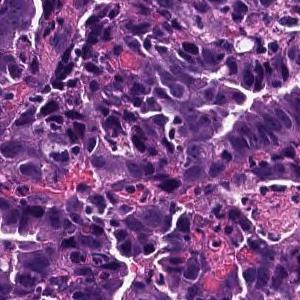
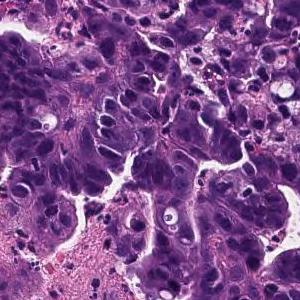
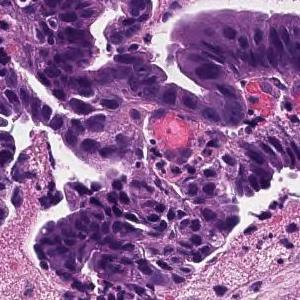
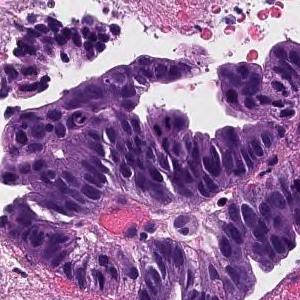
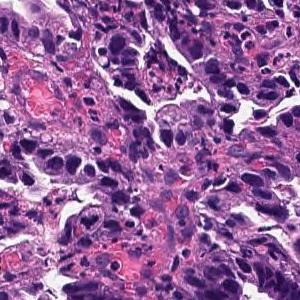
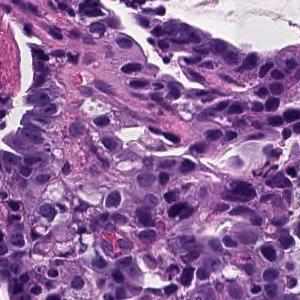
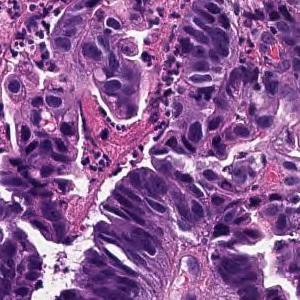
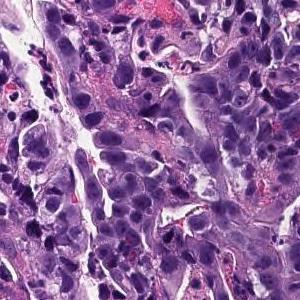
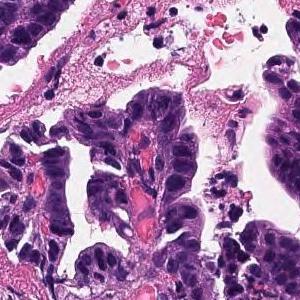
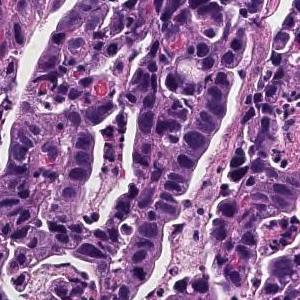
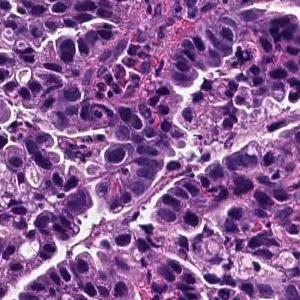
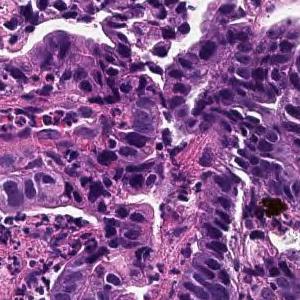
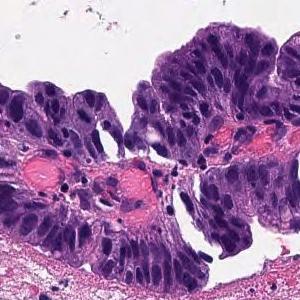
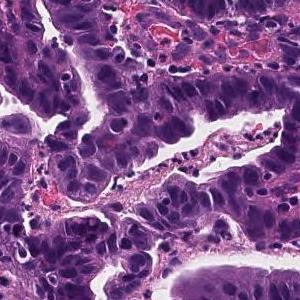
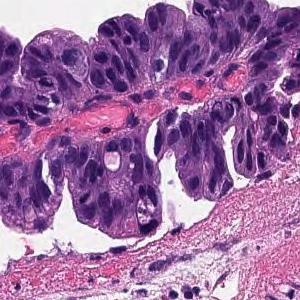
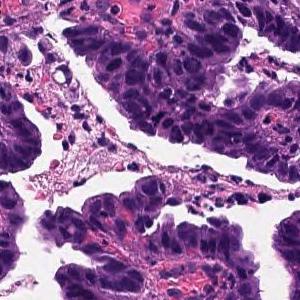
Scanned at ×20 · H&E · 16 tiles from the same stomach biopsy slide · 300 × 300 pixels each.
Pathology report for the biopsy slide these tiles were cut from. What the report and the diagnosis say applies to the whole slide; these tiles may miss some of the features named and may include tissue that is not tumor.
Infiltrating tumor tissue is observed in the superficial epithelium, showing large papillary structures or large and small ducts. Papillary adenocarcinoma
